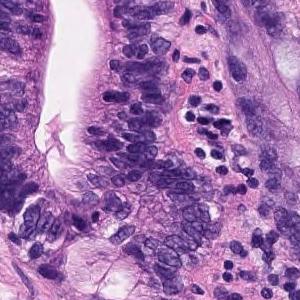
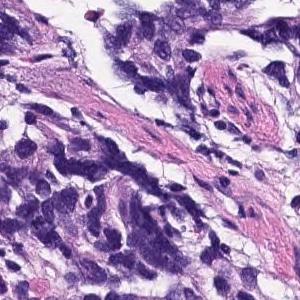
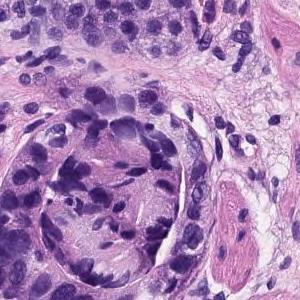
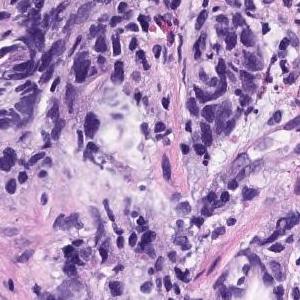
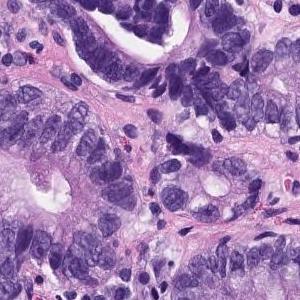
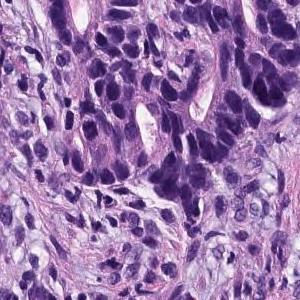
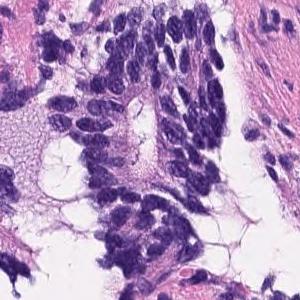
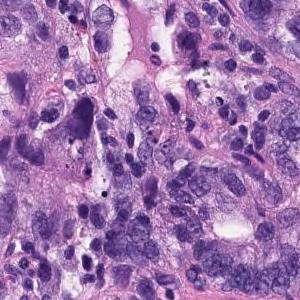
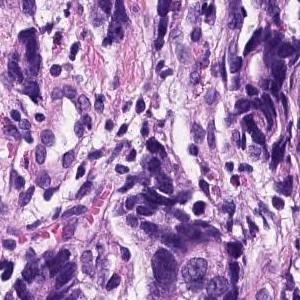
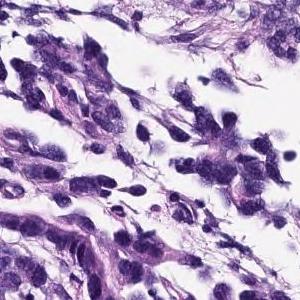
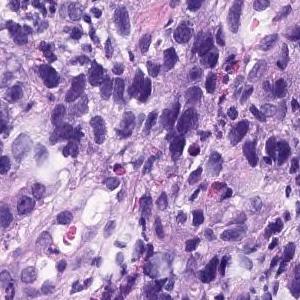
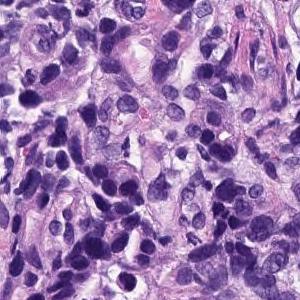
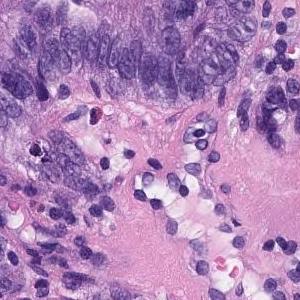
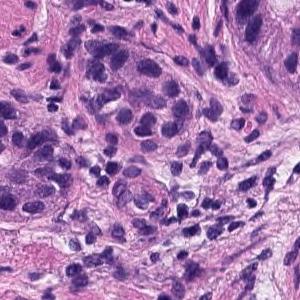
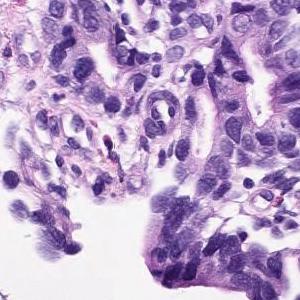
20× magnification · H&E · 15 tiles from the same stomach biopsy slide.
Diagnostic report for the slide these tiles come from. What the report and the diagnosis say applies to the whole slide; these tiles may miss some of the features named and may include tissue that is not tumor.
On the superficial epithelium, tumor tissue consisting of images showing invasive growth with small, irregular tubules partially fused is observed. moderately differentiated tubular adenocarcinoma
